12 image tiles from a single gastric biopsy slide; 300 × 300 pixels each; H&E stain.
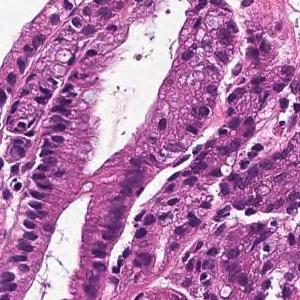
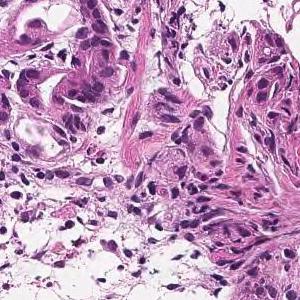
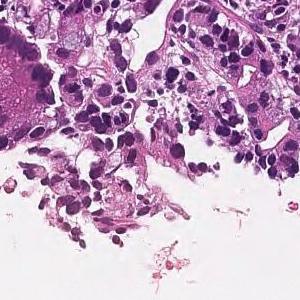
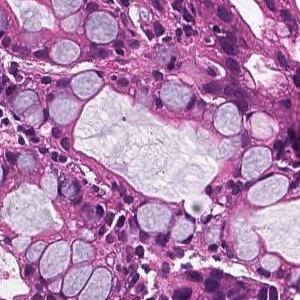
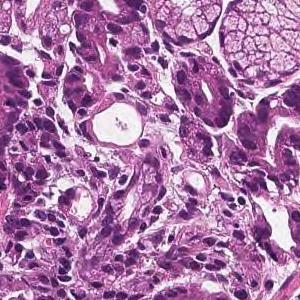
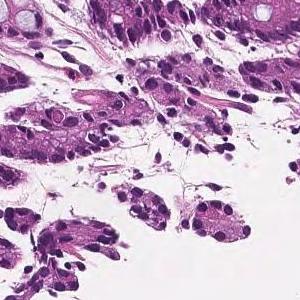
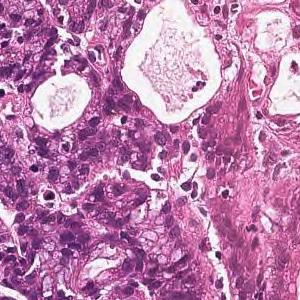
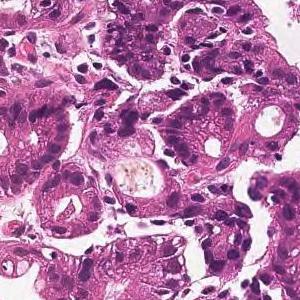
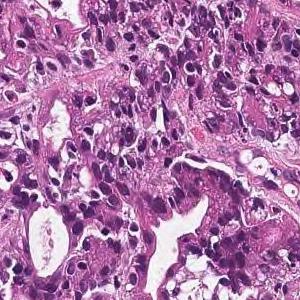
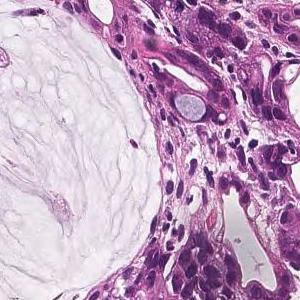
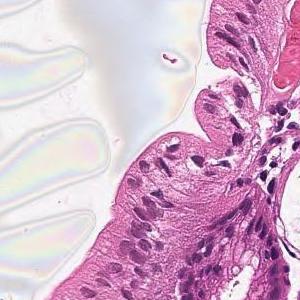
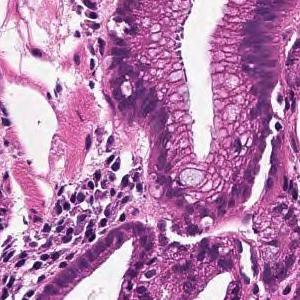
Report on the slide these tiles come from. What the report and the diagnosis say applies to the whole slide; these tiles may miss some of the features named and may include tissue that is not tumor.
In the superficial epithelium, tumor tissue that invades by forming medium-sized to small, irregular ducts is observed. moderately differentiated tubular adenocarcinoma.
